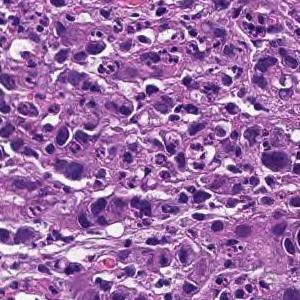
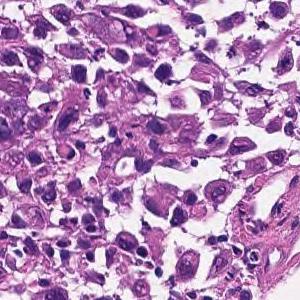
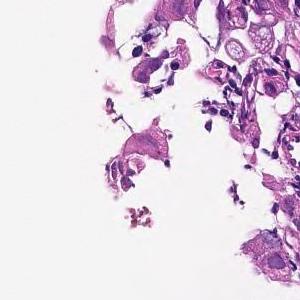
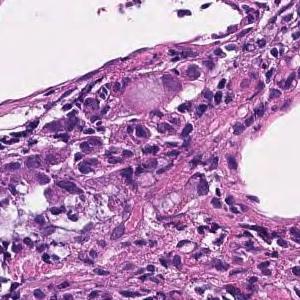
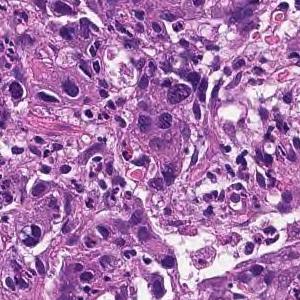
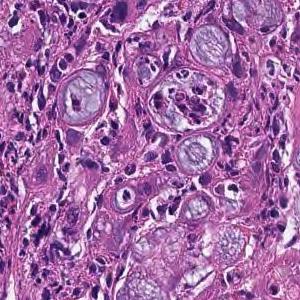
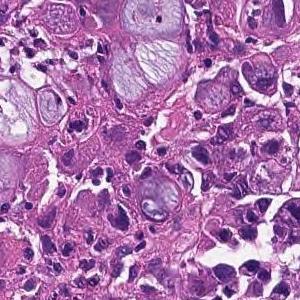
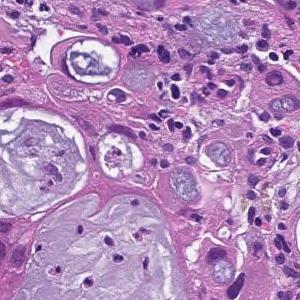
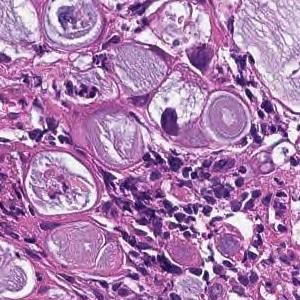
9 image tiles from a single gastric biopsy slide; ×20.
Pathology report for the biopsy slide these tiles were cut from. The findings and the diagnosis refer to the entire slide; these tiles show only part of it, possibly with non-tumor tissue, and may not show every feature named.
The superficial epithelium shows a large sheet-like shape, and some tumor tissue infiltrates with small irregular ducts. Poorly differentiated adenocarcinoma, solid-type
Tumor subtype: poorly differentiated adenocarcinoma, solid type, a category of the Japanese Classification of Gastric Carcinoma; in the WHO 2019 classification it is tubular adenocarcinoma, poorly differentiated.
